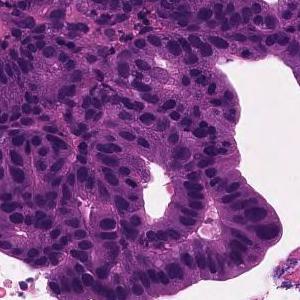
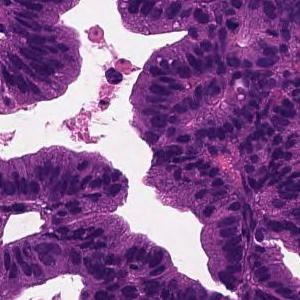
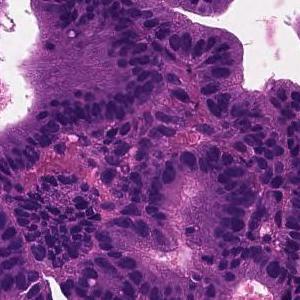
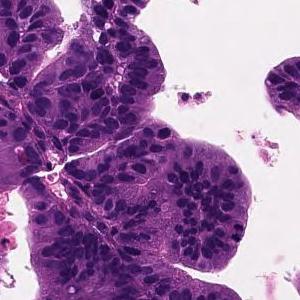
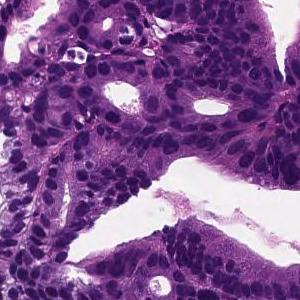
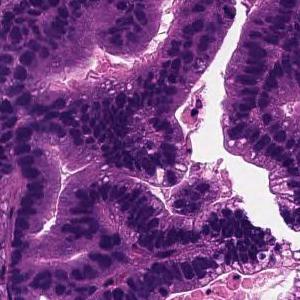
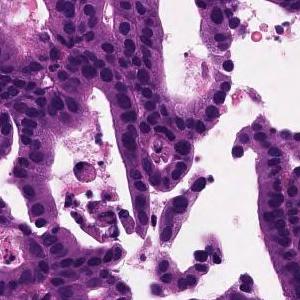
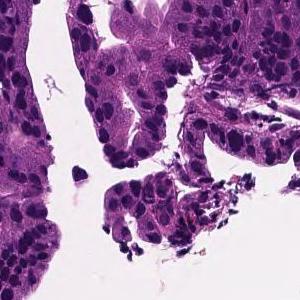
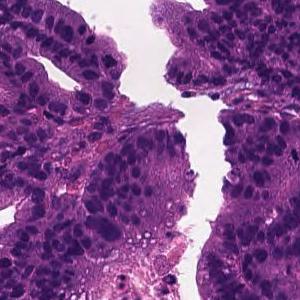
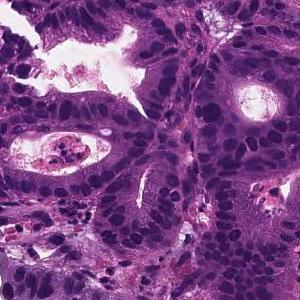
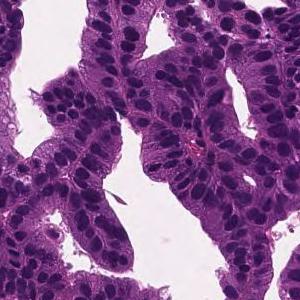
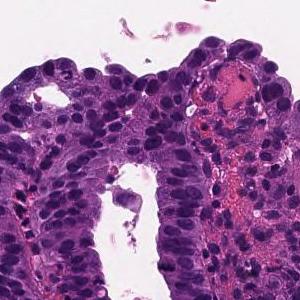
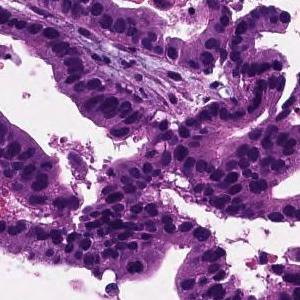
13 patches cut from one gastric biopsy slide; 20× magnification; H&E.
Report on the slide these tiles come from. Both the report and the diagnosis are for the whole slide: these tiles need not show every feature named, and some of the tissue shown may not be tumor.
Tumor cells are large, highly columnar, large club-shaped nuclei, and are associated with chromatin aggregation. Papillary adenocarcinoma.
